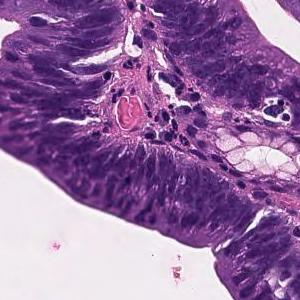
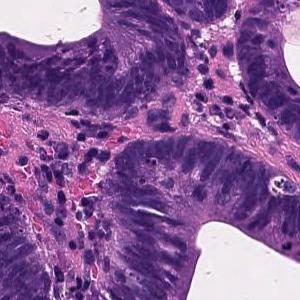
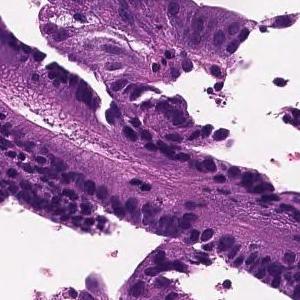
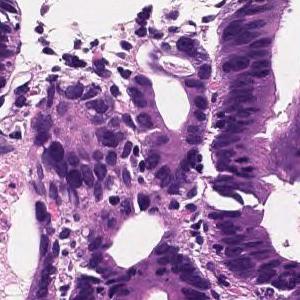
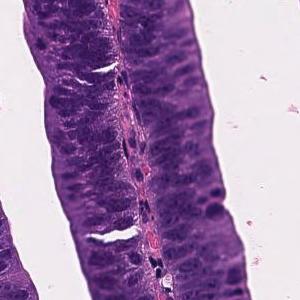
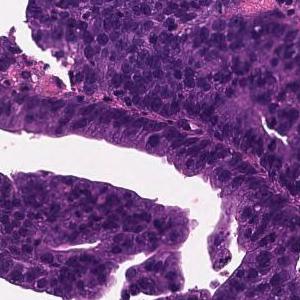
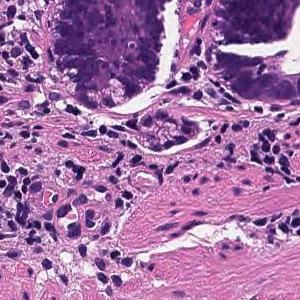
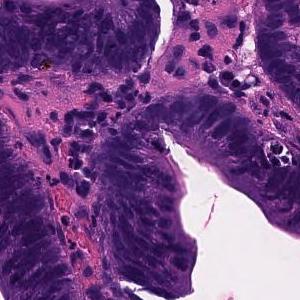
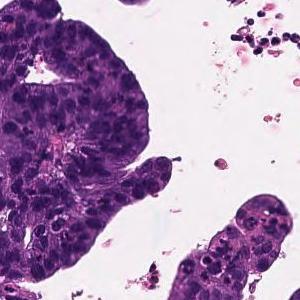
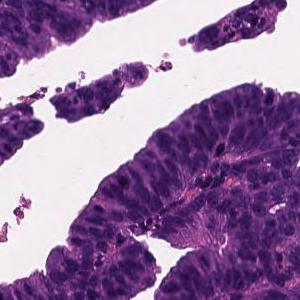
10 tiles from the same stomach biopsy slide, 300 × 300 pixels each, scanned at ×20, H&E.
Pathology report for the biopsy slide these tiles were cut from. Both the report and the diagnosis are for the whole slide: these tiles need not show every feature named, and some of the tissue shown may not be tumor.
Tumor tissue consisting of large papillary structures is found in the superficial epithelium. Papillary adenocarcinoma.
